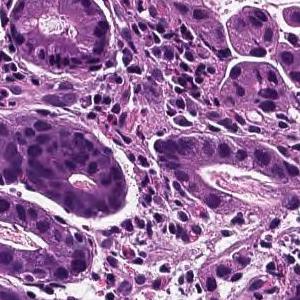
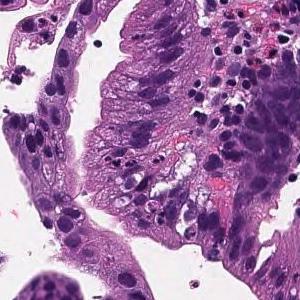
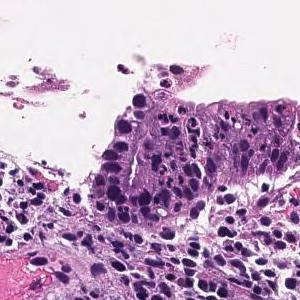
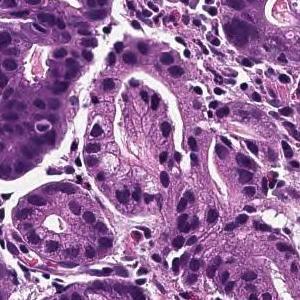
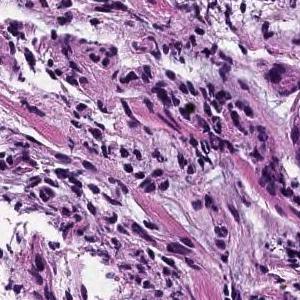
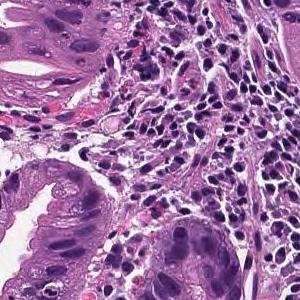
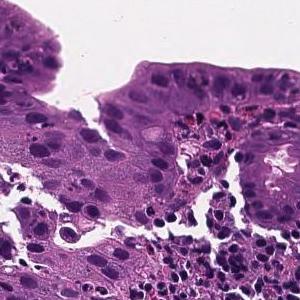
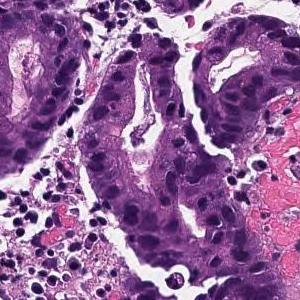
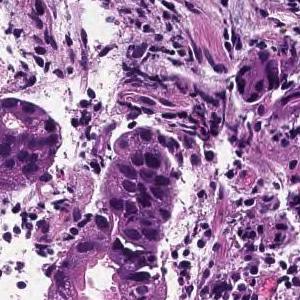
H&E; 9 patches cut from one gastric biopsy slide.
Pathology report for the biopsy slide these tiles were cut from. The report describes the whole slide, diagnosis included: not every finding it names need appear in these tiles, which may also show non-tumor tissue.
From the superficial epithelium to the muscularis mucosae, tumor tissue consisting of medium-sized and irregular glandular ducts infiltrating is observed. Well differentiated tubular adenocarcinoma
